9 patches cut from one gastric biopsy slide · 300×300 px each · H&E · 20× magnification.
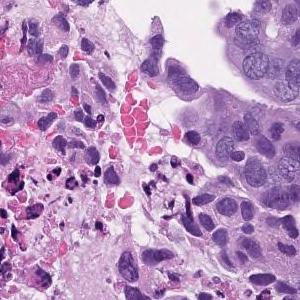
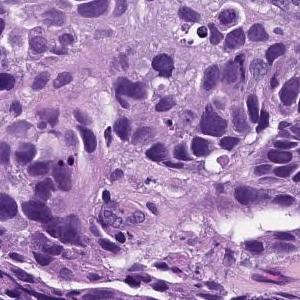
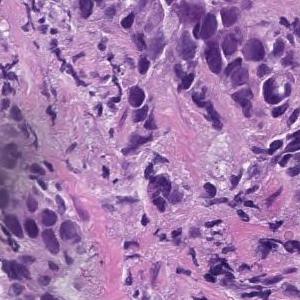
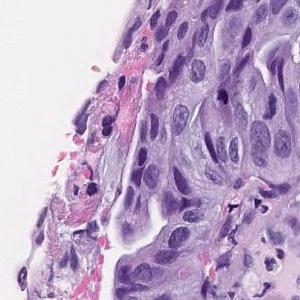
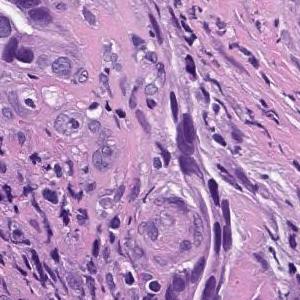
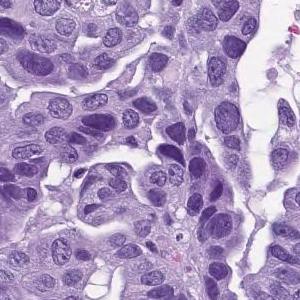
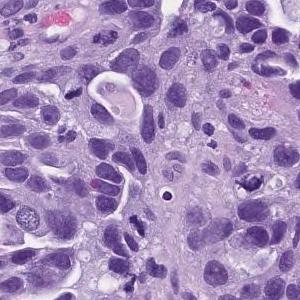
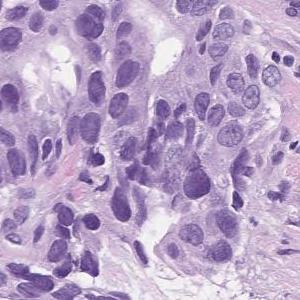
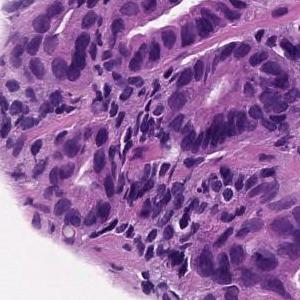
The pathologist's report on the biopsy slide these tiles were taken from. The findings and the diagnosis refer to the entire slide; these tiles show only part of it, possibly with non-tumor tissue, and may not show every feature named.
In the superficial epithelium, tumor tissue that invades by forming medium-sized to small, irregular ducts is observed. moderately differentiated tubular adenocarcinoma.
